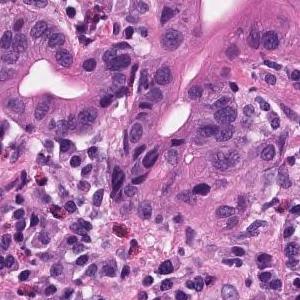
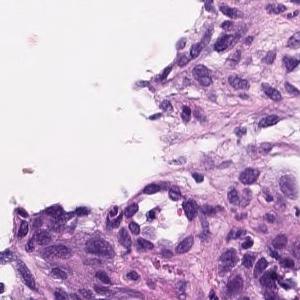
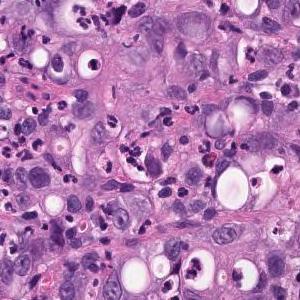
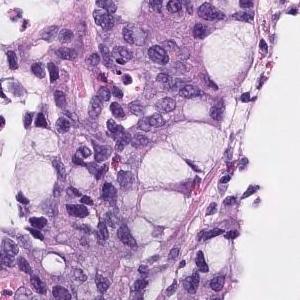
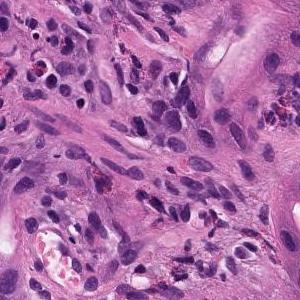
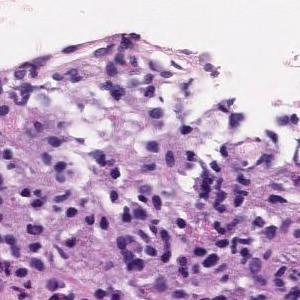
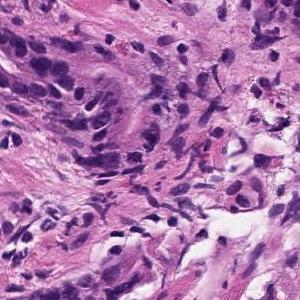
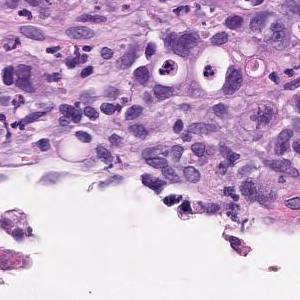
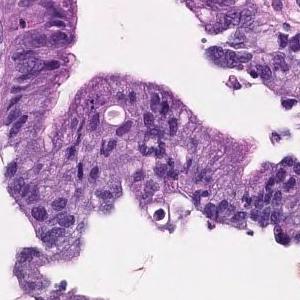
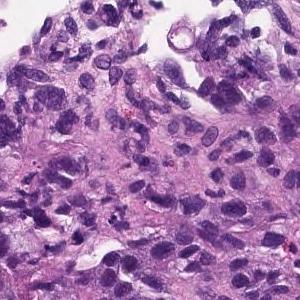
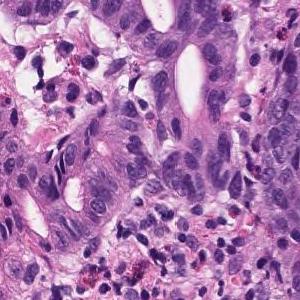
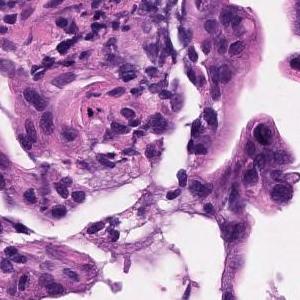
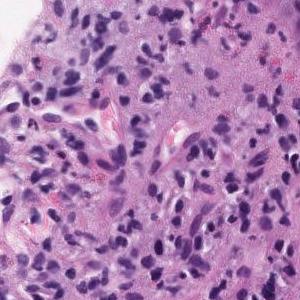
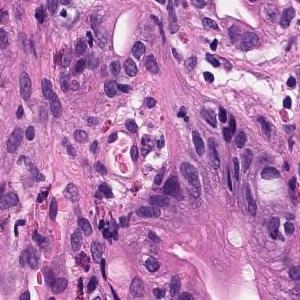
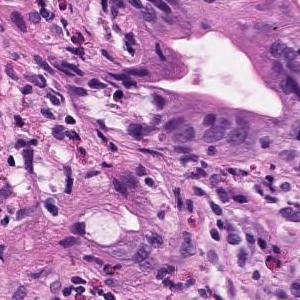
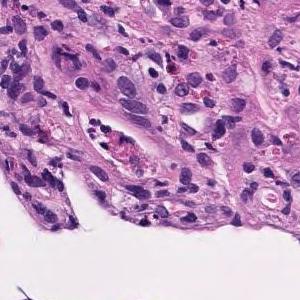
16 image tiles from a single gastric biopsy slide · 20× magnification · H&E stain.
The pathologist's report on the biopsy slide these tiles were taken from. The findings and the diagnosis refer to the entire slide; these tiles show only part of it, possibly with non-tumor tissue, and may not show every feature named.
moderately differentiated tubular adenocarcinoma, Poorly differentiated adenocarcinoma
The dataset labels this slide poorly differentiated adenocarcinoma, solid type (Japanese Classification of Gastric Carcinoma). The WHO 2019 equivalent is tubular adenocarcinoma, poorly differentiated.
